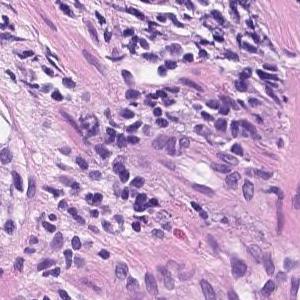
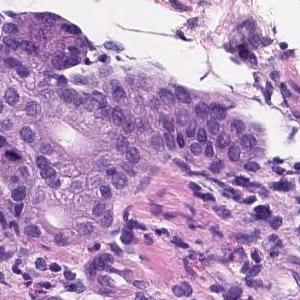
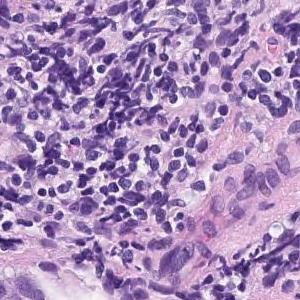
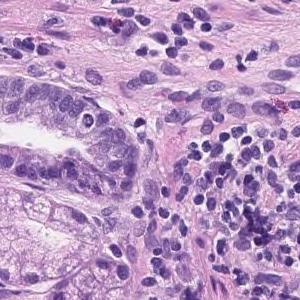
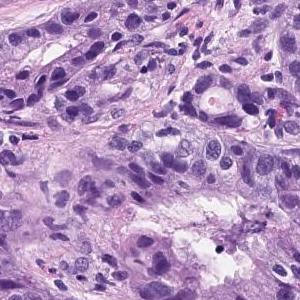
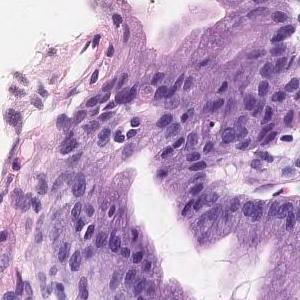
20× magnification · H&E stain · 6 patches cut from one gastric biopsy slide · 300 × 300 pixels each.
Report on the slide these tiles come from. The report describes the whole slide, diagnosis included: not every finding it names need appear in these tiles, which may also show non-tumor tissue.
Tumor tissue consisting of medium-sized and irregular ducts is observed infiltrating in the superficial epithelium. Tumor cells are highly columnar, with nuclei aligned basolaterally and polarized. Well differentiated tubular adenocarcinoma.
